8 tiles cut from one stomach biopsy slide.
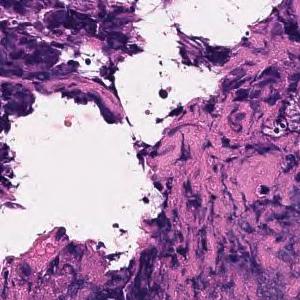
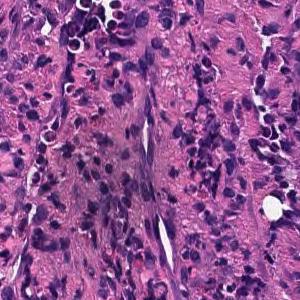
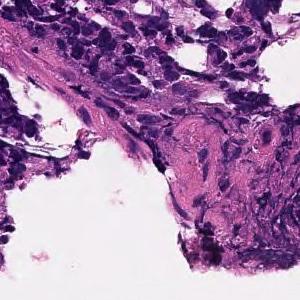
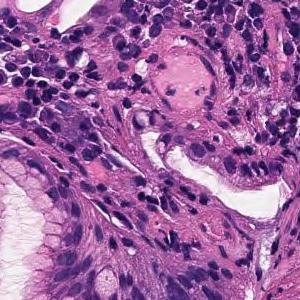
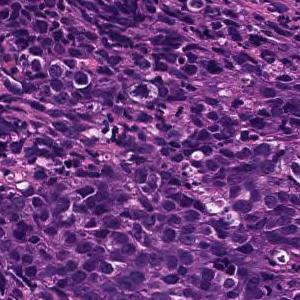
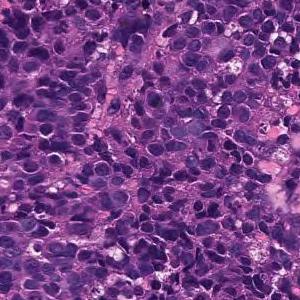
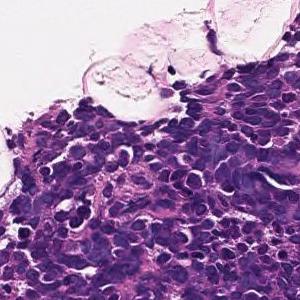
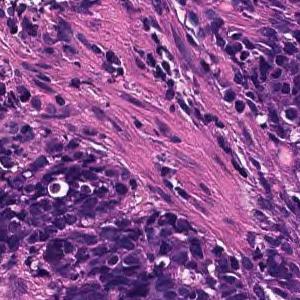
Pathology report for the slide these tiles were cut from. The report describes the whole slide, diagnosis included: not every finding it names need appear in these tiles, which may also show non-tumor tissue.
Large sheet-like or diffusely infiltrating tumor tissue is found in the superficial epithelium. Poorly differentiated adenocarcinoma, solid-type
Histological subtype: Poorly differentiated adenocarcinoma, solid type, a category of the Japanese Classification of Gastric Carcinoma; in the WHO 2019 classification it is tubular adenocarcinoma, poorly differentiated.
